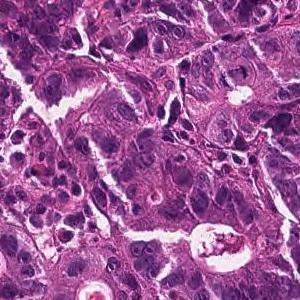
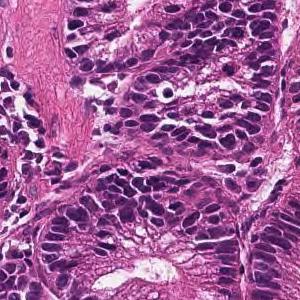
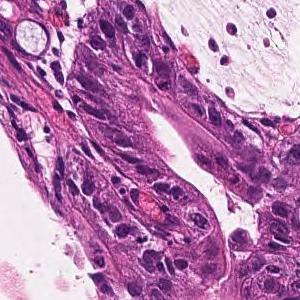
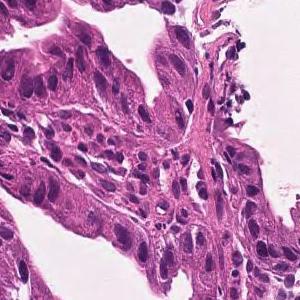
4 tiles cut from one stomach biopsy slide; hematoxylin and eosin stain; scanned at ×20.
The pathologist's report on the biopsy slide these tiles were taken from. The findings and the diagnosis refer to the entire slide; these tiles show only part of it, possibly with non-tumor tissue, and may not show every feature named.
In the superficial epithelium, tumor tissue that invades by forming medium-sized to small, irregular ducts is observed. moderately differentiated tubular adenocarcinoma.
